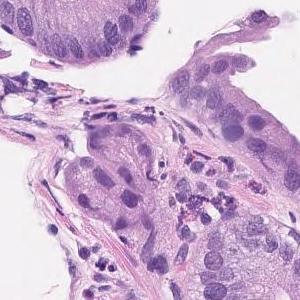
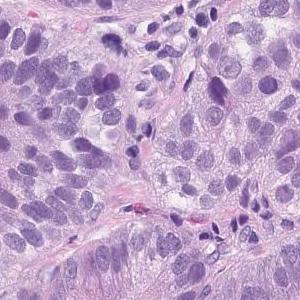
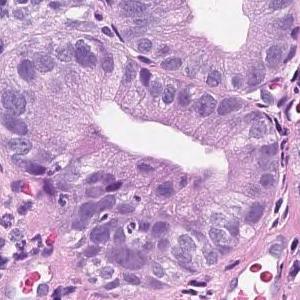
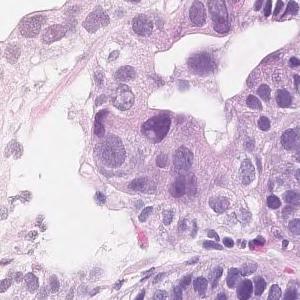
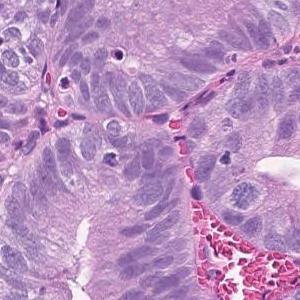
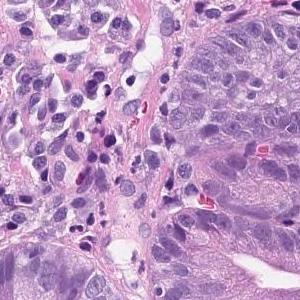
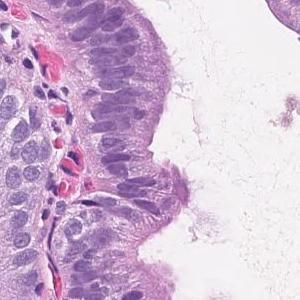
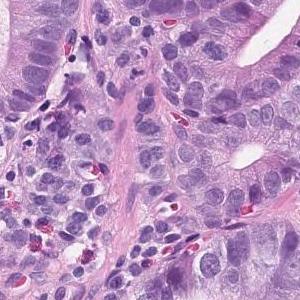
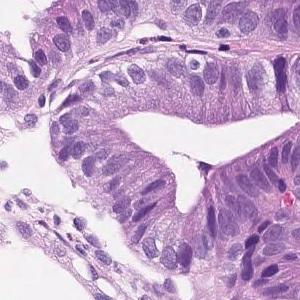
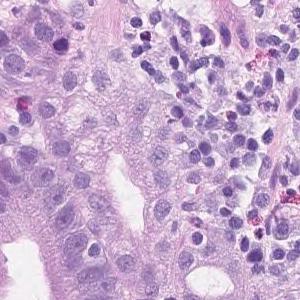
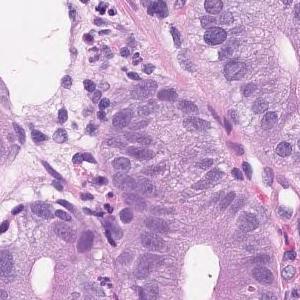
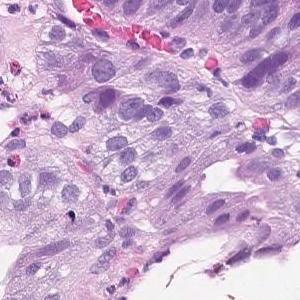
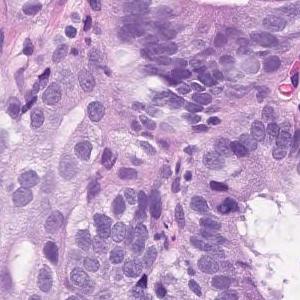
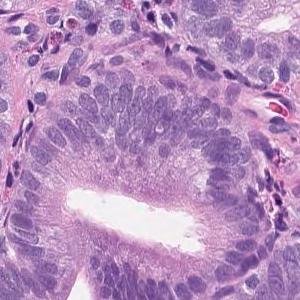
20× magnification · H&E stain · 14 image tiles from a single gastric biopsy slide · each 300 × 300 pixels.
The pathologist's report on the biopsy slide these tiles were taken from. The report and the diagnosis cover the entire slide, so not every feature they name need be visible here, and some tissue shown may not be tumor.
Tumor tissue consisting of medium-sized and irregular ducts is observed infiltrating in the superficial epithelium. Tumor cells are highly columnar, with nuclei aligned basolaterally and polarized. Well differentiated tubular adenocarcinoma.
